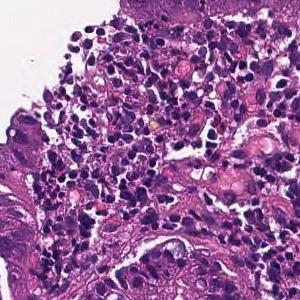
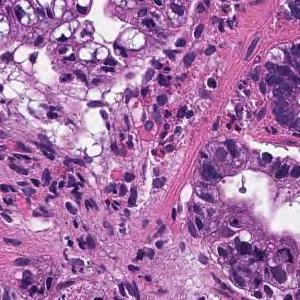
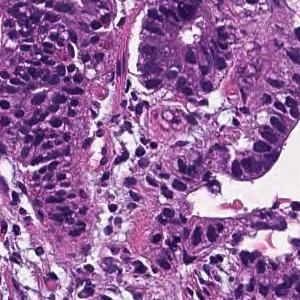
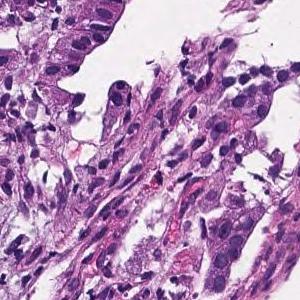
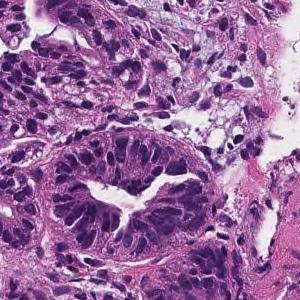
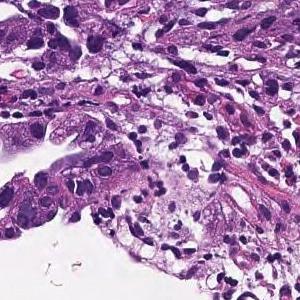
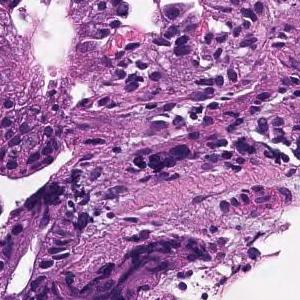
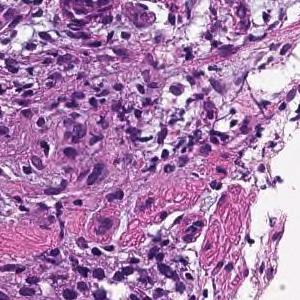
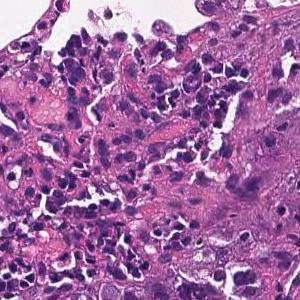
9 image tiles from a single gastric biopsy slide; 300×300 px each; ×20; H&E.
Pathology report for the biopsy slide these tiles were cut from. What the report and the diagnosis say applies to the whole slide; these tiles may miss some of the features named and may include tissue that is not tumor.
From the superficial epithelium to the muscularis mucosae, tumor tissue consisting of medium-sized and irregular glandular ducts infiltrating is observed. Well differentiated tubular adenocarcinoma
